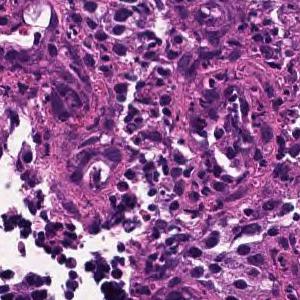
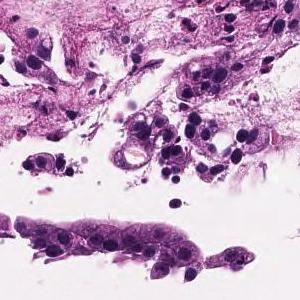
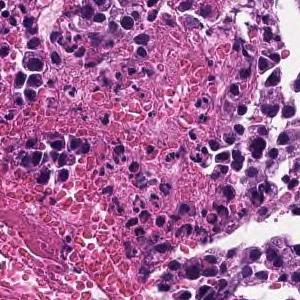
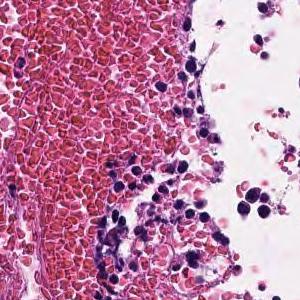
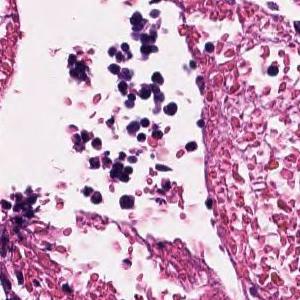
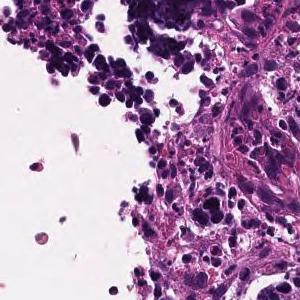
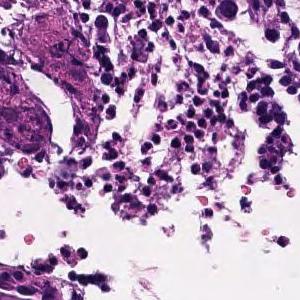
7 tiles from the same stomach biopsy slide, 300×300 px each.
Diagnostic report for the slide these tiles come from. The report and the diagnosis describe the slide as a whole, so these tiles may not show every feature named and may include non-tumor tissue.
The superficial epithelium shows a large sheet-like shape, and some tumor tissue infiltrates with small irregular ducts. Poorly differentiated adenocarcinoma, solid-type
Histological subtype: Poorly differentiated adenocarcinoma, solid type (Japanese Classification of Gastric Carcinoma). The WHO 2019 equivalent is tubular adenocarcinoma, poorly differentiated.
